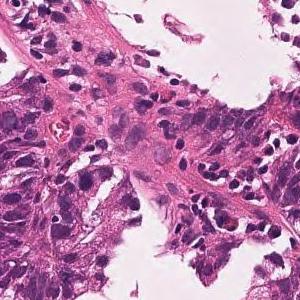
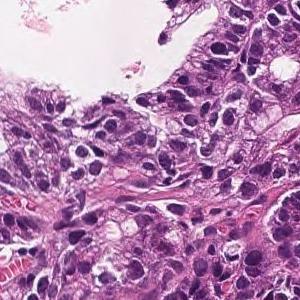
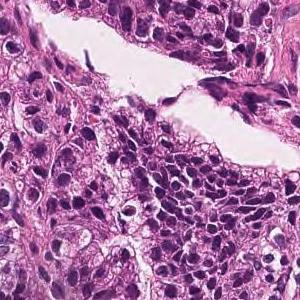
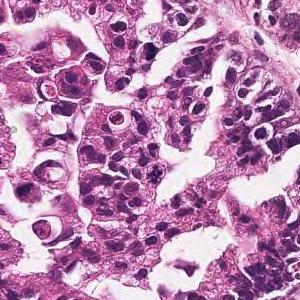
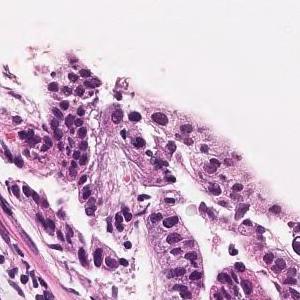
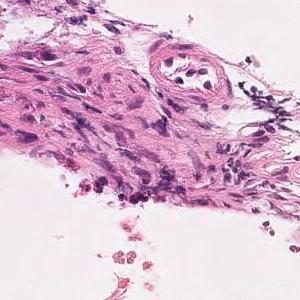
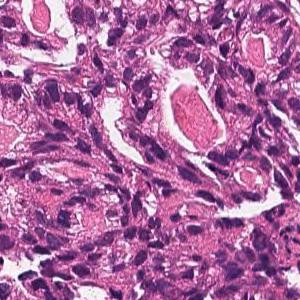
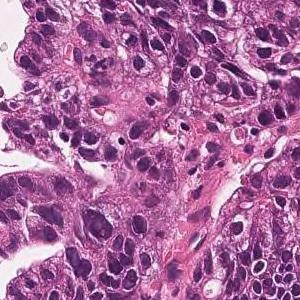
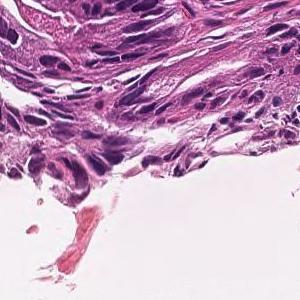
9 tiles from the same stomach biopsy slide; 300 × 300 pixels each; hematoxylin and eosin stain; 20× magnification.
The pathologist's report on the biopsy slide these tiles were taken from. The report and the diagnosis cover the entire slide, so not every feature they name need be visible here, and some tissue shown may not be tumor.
On the superficial epithelium, tumor tissue consisting of large, irregular glandular ducts partially fused and infiltrated is observed. Well to moderately differentiated tubular adenocarcinoma (well differentiated tubular adenocarcinoma, moderately differentiated tubular adenocarcinoma)
Histological subtype: Well to moderately differentiated tubular adenocarcinoma.
